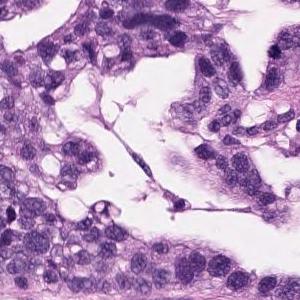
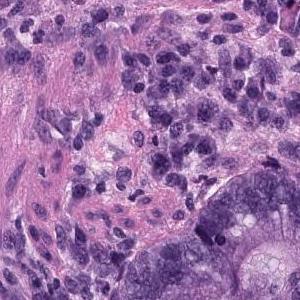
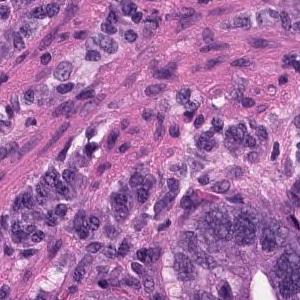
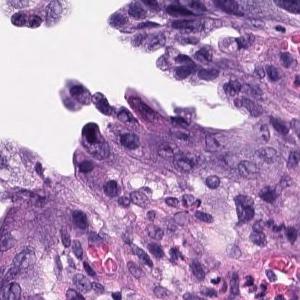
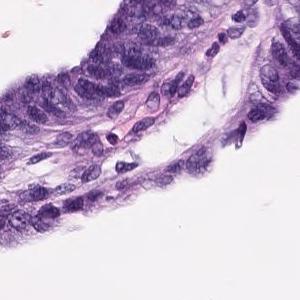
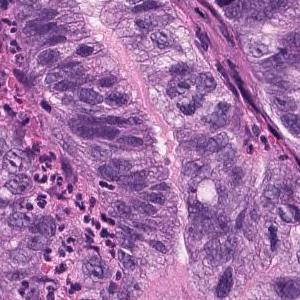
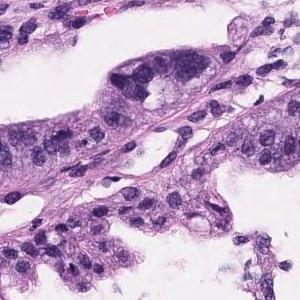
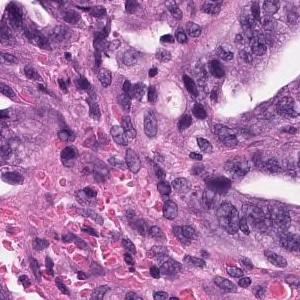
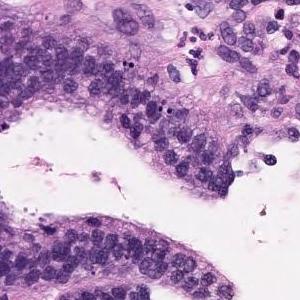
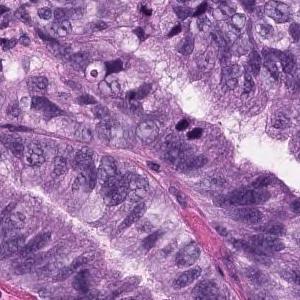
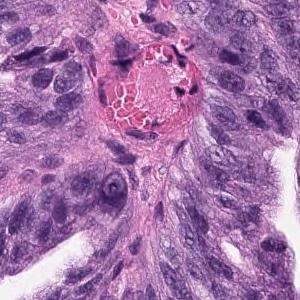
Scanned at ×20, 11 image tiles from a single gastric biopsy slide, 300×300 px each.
Pathology report for the biopsy slide these tiles were cut from. The report and the diagnosis describe the slide as a whole, so these tiles may not show every feature named and may include non-tumor tissue.
Tumor cells are large, highly columnar, large club-shaped nuclei, and are associated with chromatin aggregation. Papillary adenocarcinoma.
